20× magnification, 6 tiles cut from one stomach biopsy slide.
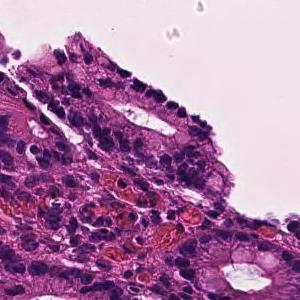
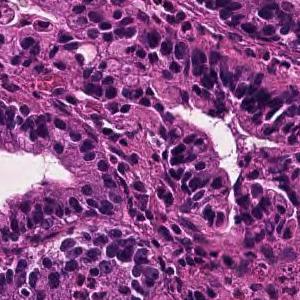
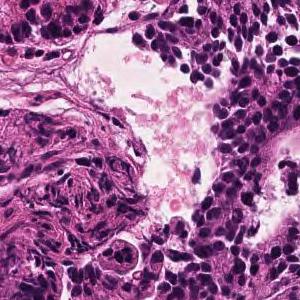
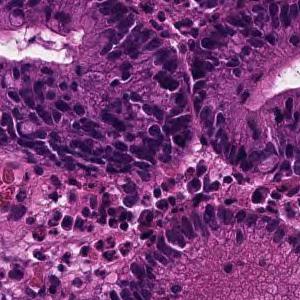
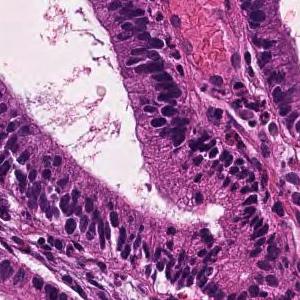
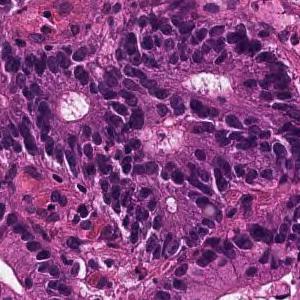
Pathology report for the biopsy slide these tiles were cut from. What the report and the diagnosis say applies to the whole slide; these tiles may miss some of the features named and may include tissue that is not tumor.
In the superficial epithelium, tumor tissue that invades by forming medium-sized to small, irregular ducts is observed. moderately differentiated tubular adenocarcinoma.
